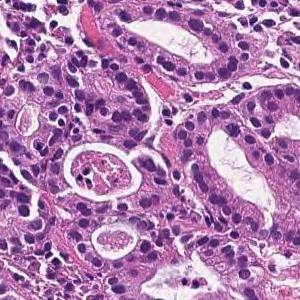
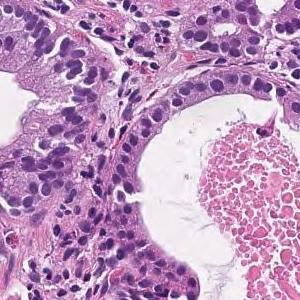
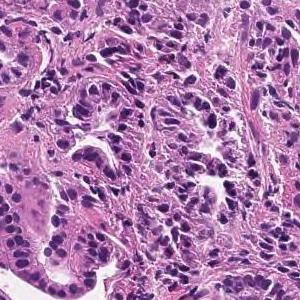
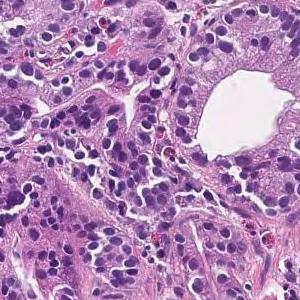
4 tiles from the same stomach biopsy slide · 300×300 px each · hematoxylin and eosin stain · 20× magnification.
Pathology report for the biopsy slide these tiles were cut from. What the report and the diagnosis say applies to the whole slide; these tiles may miss some of the features named and may include tissue that is not tumor.
On the superficial epithelium, tumor tissue that infiltrates by forming medium-sized papillary or small irregular ducts is observed. Papillary adenocarcinoma (Papillary adenocarcinoma)
Subtype: Papillary adenocarcinoma.
